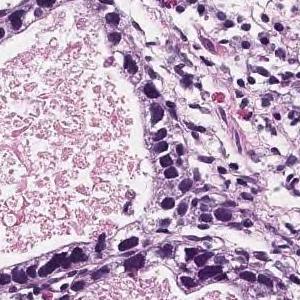
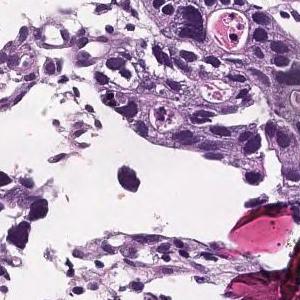
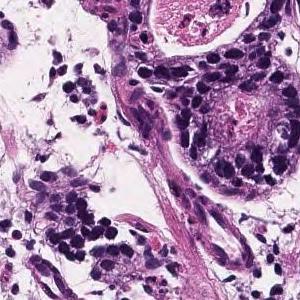
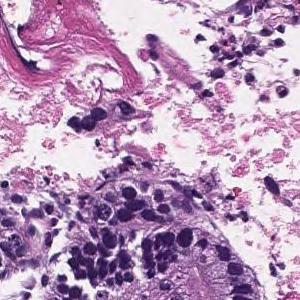
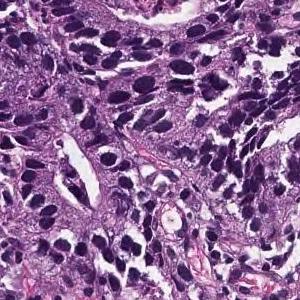
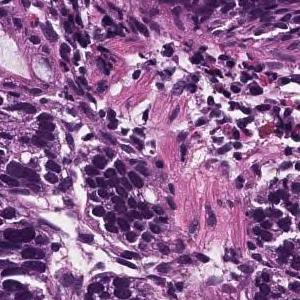
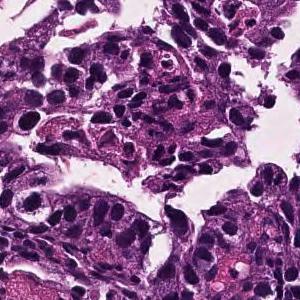
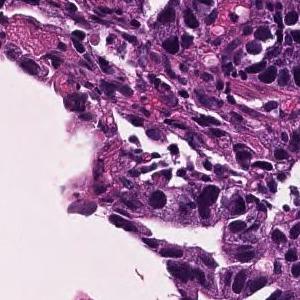
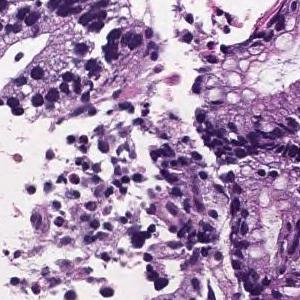
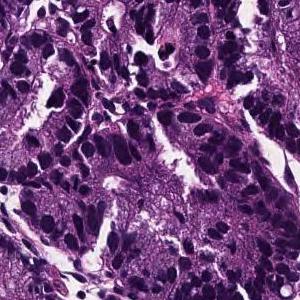
10 patches cut from one gastric biopsy slide; 300 × 300 pixels each; scanned at ×20; hematoxylin and eosin stain.
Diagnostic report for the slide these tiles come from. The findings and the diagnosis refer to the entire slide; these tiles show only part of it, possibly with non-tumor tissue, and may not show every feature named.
In the superficial epithelium, tumor tissue that invades by forming medium-sized to small, irregular ducts is observed. Well differentiated tubular adenocarcinoma.
